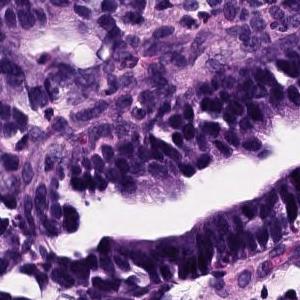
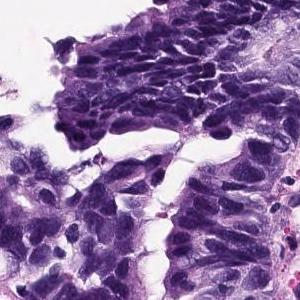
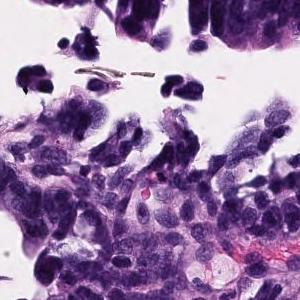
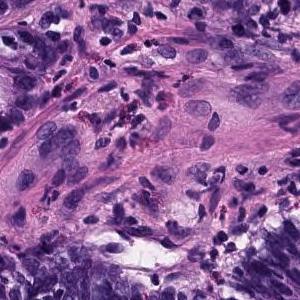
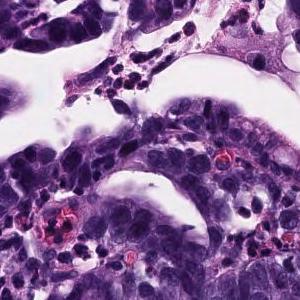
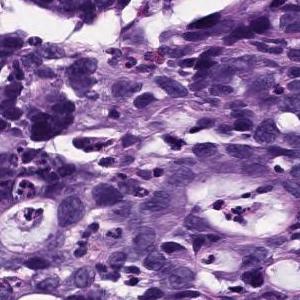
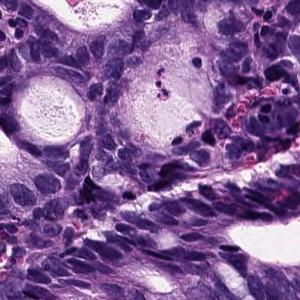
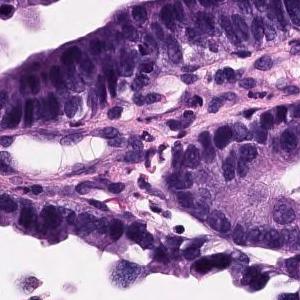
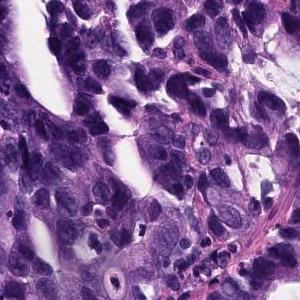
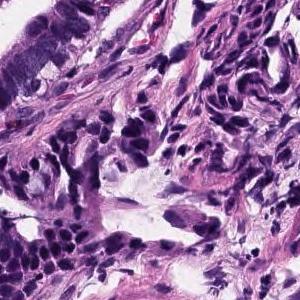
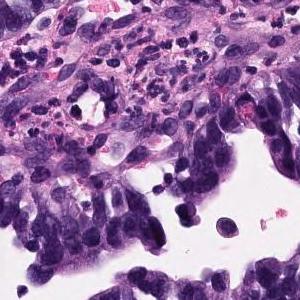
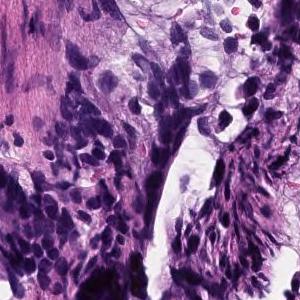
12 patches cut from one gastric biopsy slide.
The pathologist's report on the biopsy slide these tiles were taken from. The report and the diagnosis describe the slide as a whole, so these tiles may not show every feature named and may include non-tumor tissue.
Atypical epithelium proliferating showing villus construction and irregular gland duct construction is observed. Moderately differentiated tubular adenocarcinoma.
